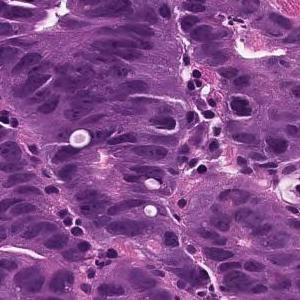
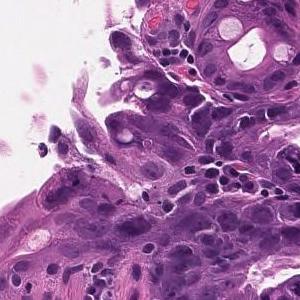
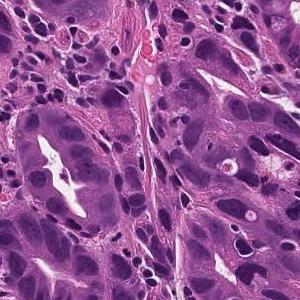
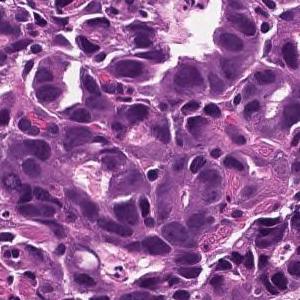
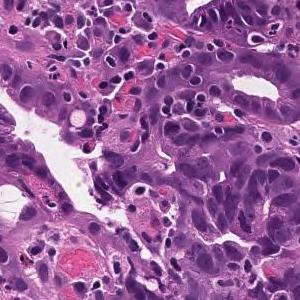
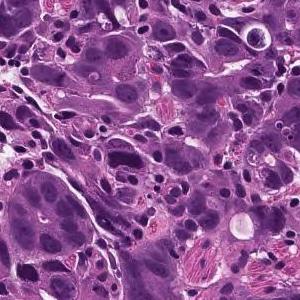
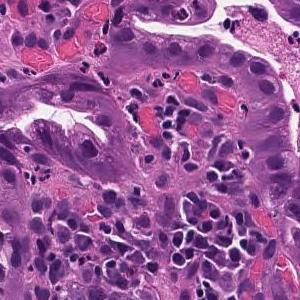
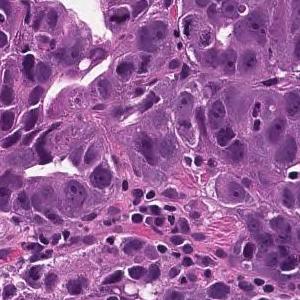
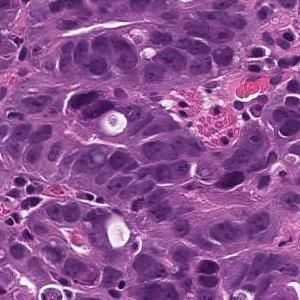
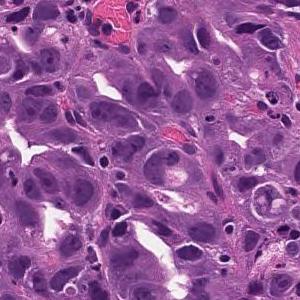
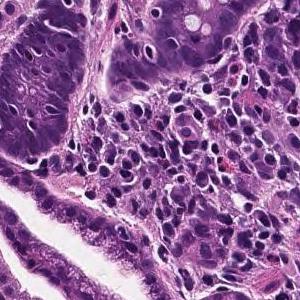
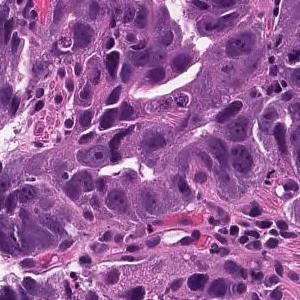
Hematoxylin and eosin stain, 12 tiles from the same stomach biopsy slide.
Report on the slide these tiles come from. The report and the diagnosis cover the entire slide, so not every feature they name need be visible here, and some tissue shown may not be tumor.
On the superficial epithelium, tumor tissue is found in which medium-sized irregular gland ducts fuse with each other and infiltrate. moderately differentiated tubular adenocarcinoma
